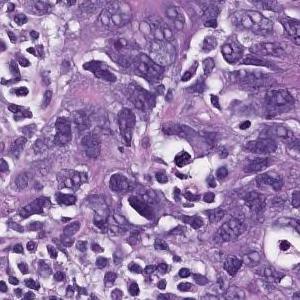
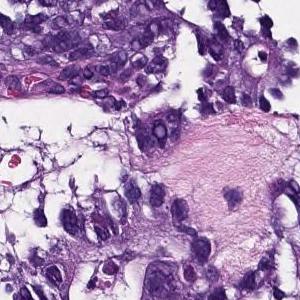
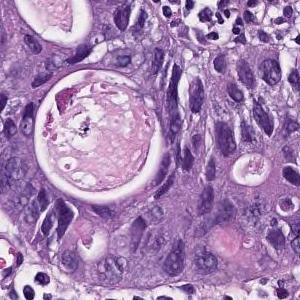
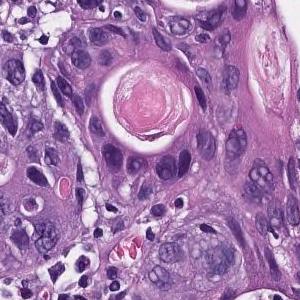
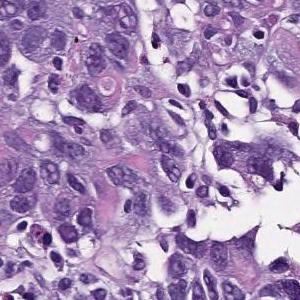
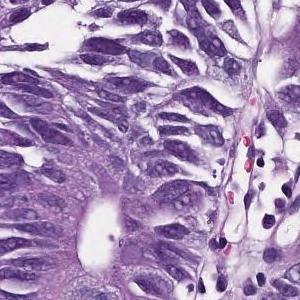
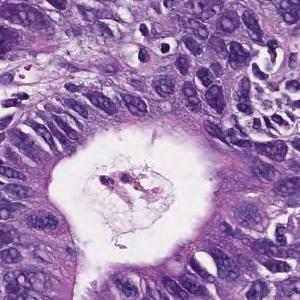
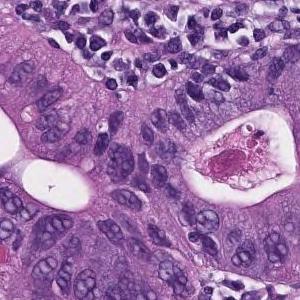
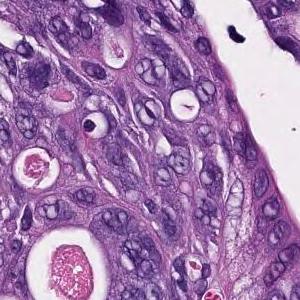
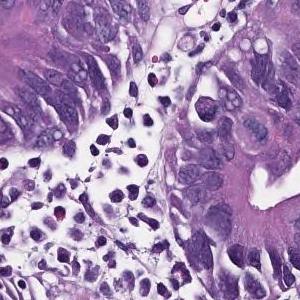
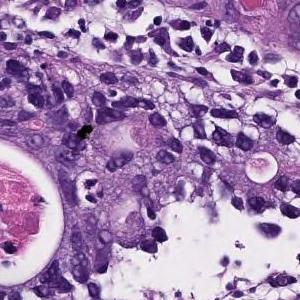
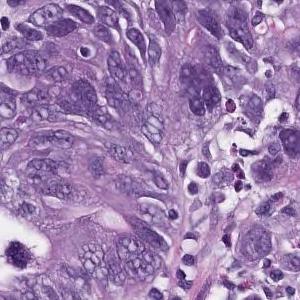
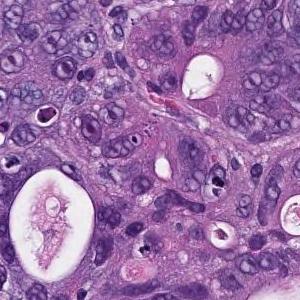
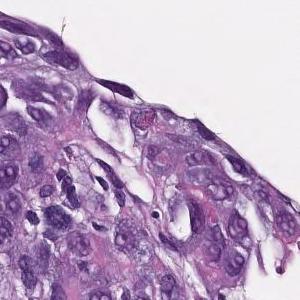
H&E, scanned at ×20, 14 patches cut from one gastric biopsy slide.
Diagnostic report for the slide these tiles come from. Both the report and the diagnosis are for the whole slide: these tiles need not show every feature named, and some of the tissue shown may not be tumor.
In the superficial epithelium, tumor tissue that invades by forming medium-sized to small, irregular ducts is observed. moderately differentiated tubular adenocarcinoma.
